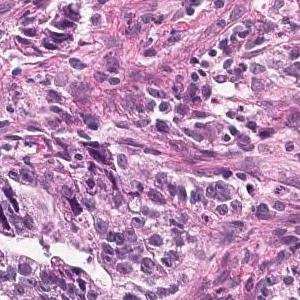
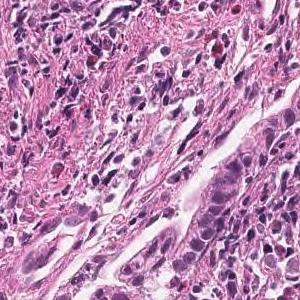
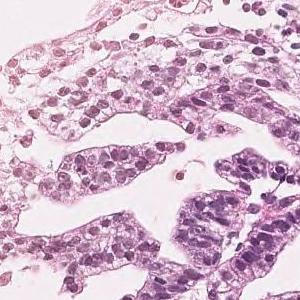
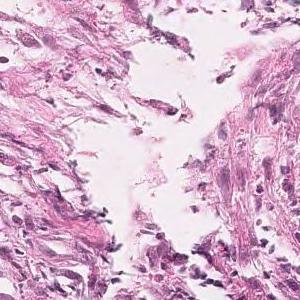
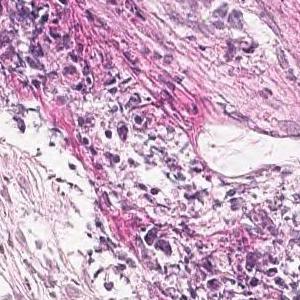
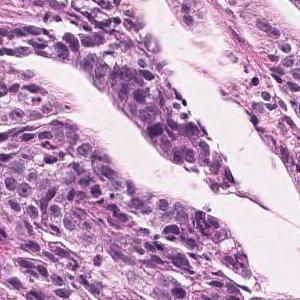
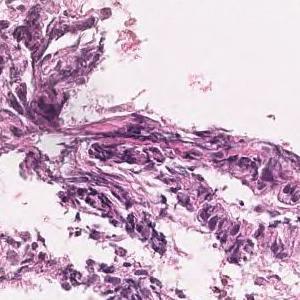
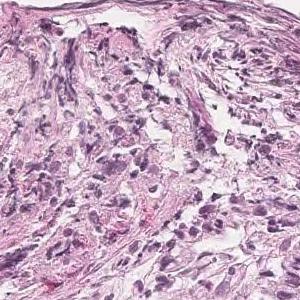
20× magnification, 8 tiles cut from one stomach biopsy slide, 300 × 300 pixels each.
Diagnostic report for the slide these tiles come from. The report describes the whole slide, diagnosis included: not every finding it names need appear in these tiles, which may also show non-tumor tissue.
Tumor tissue in which highly columnar atypical epithelial cells with nuclear enlargement and increased nuclear chromatin show papillary to papillary ductal structure and proliferate is observed. Papillary adenocarcinoma.
